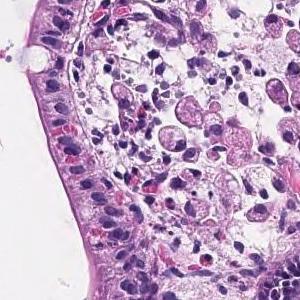
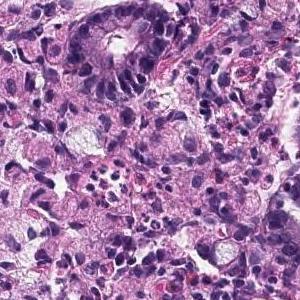
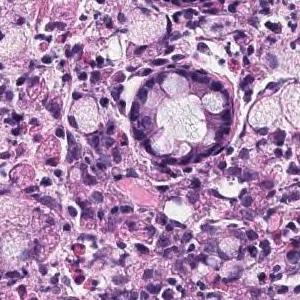
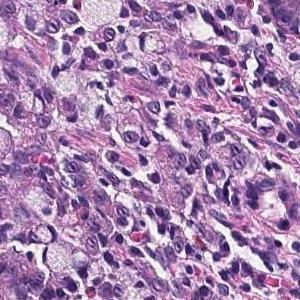
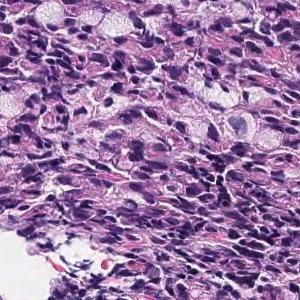
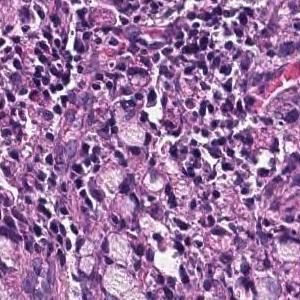
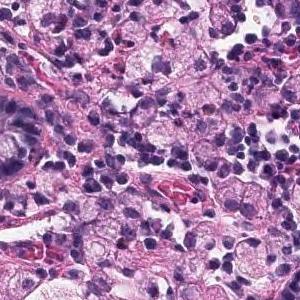
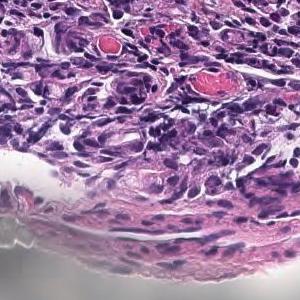
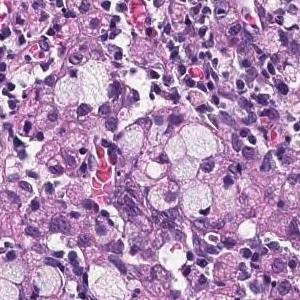
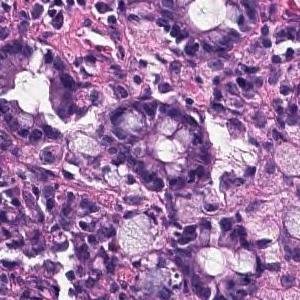
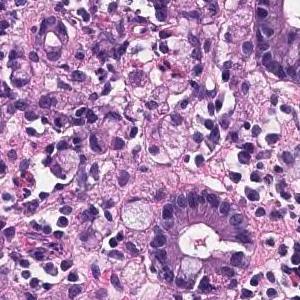
11 image tiles from a single gastric biopsy slide · each 300 × 300 pixels · ×20 · H&E stain.
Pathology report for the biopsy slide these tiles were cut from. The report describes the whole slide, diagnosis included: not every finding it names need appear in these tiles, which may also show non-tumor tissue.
A tumor tissue consisting of signet ring cell carcinoma cells is observed in the lamina propria. Signet ring cell carcinoma.
